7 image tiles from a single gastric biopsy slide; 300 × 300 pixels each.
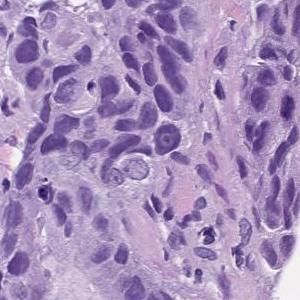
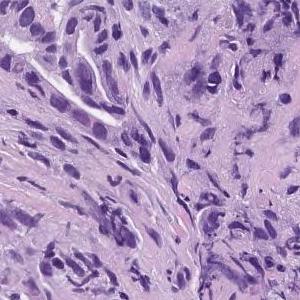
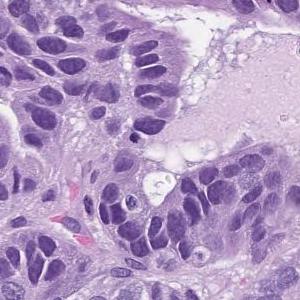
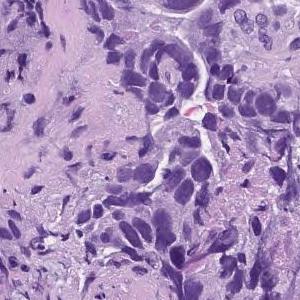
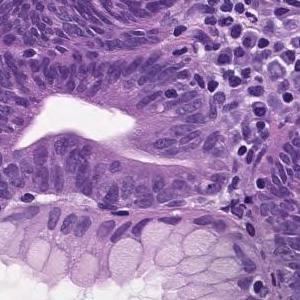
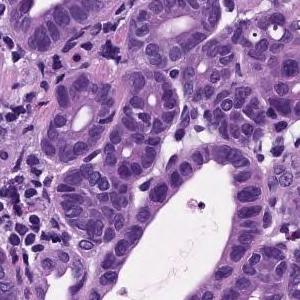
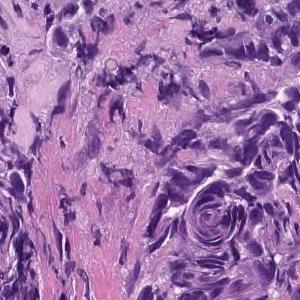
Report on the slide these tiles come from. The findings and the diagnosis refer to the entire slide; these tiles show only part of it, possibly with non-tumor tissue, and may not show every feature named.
In the superficial epithelium, tumor tissue that invades by forming medium-sized to small, irregular ducts is observed. moderately differentiated tubular adenocarcinoma.
